×20; H&E; 15 tiles cut from one stomach biopsy slide.
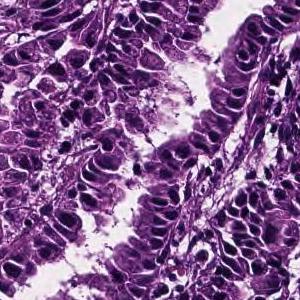
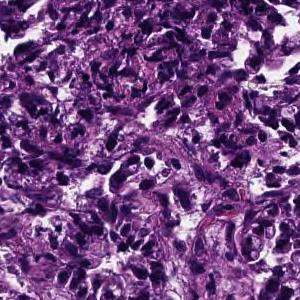
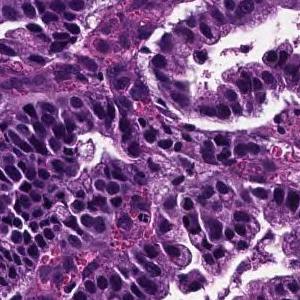
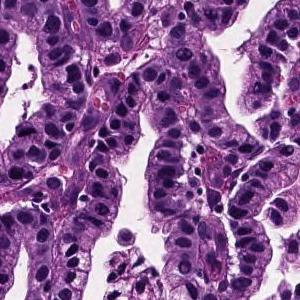
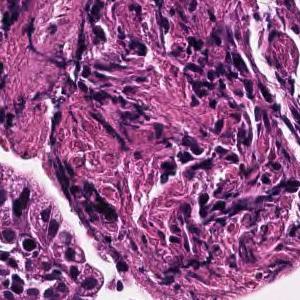
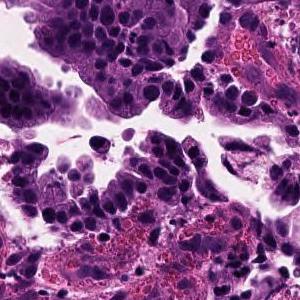
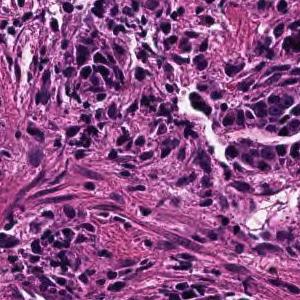
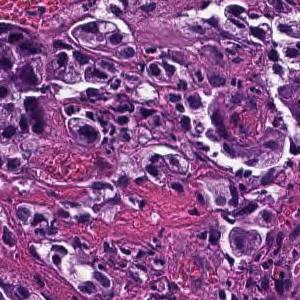
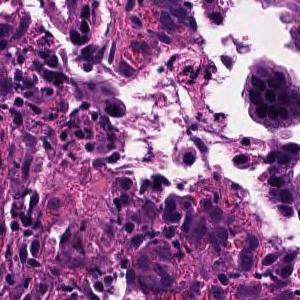
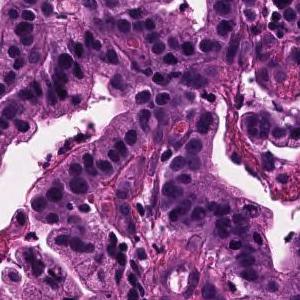
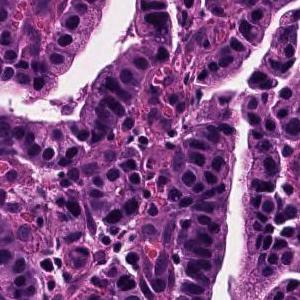
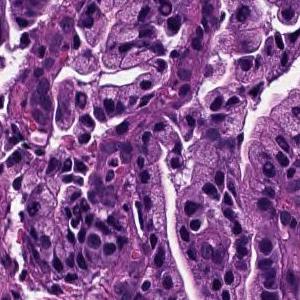
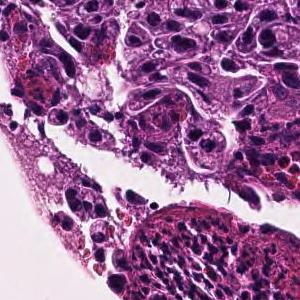
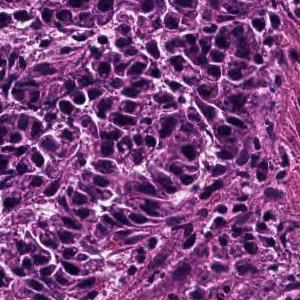
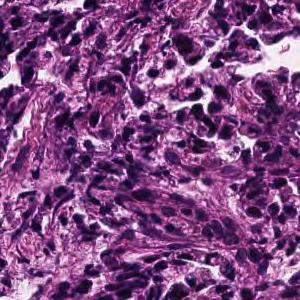
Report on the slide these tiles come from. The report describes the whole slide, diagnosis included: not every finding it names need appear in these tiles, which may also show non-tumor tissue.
Tumor cells are large, highly columnar, large club-shaped nuclei, and are associated with chromatin aggregation. Papillary adenocarcinoma.
